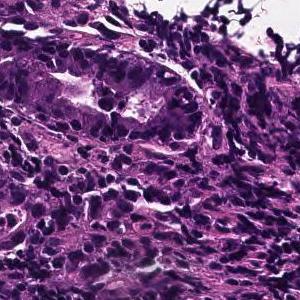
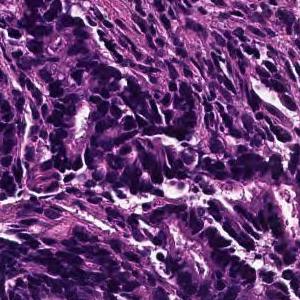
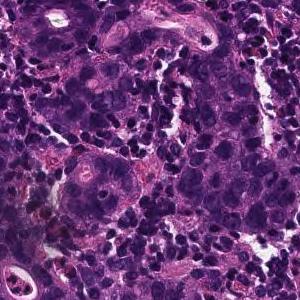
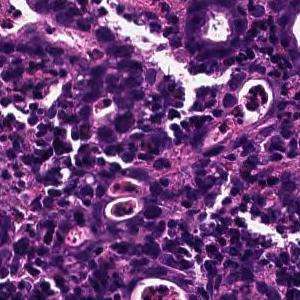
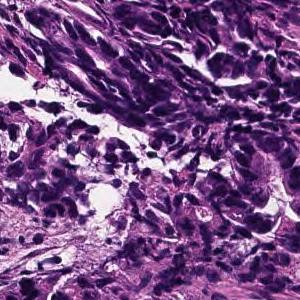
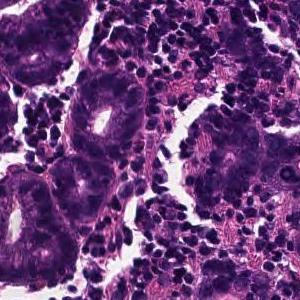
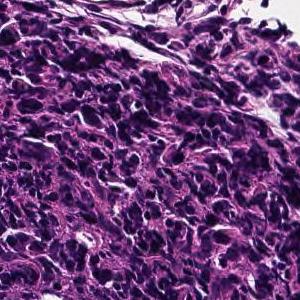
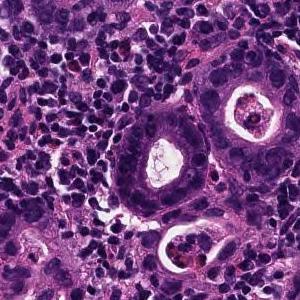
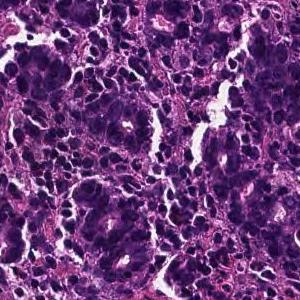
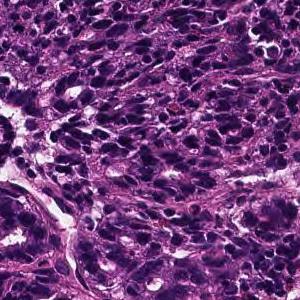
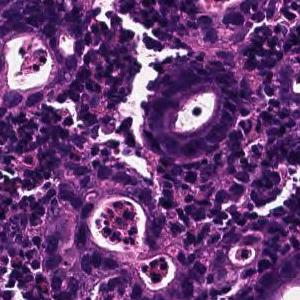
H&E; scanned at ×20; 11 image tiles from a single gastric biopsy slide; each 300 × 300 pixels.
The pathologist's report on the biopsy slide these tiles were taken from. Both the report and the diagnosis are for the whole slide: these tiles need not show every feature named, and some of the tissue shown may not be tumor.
On the superficial epithelium, tumor tissue is found in which medium-sized irregular gland ducts fuse with each other and infiltrate. moderately differentiated tubular adenocarcinoma or Poorly differentiated adenocarcinoma, non-solid type
Tumor subtype: moderately to poorly differentiated adenocarcinoma.
The term "non-solid type" comes from the Japanese Classification of Gastric Carcinoma.
